9 image tiles from a single gastric biopsy slide; 300×300 px each; H&E.
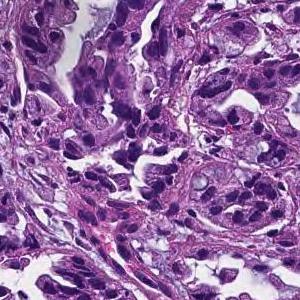
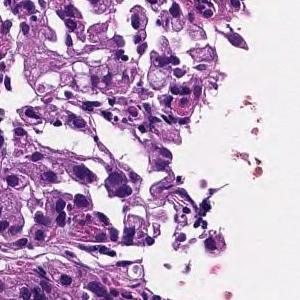
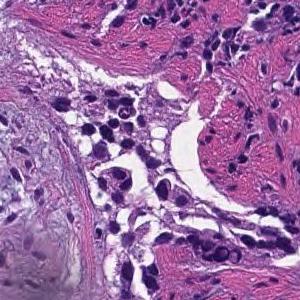
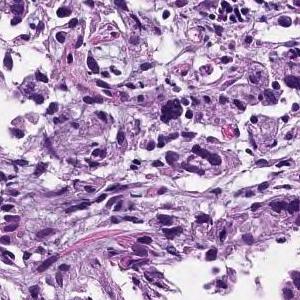
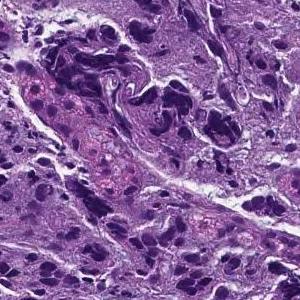
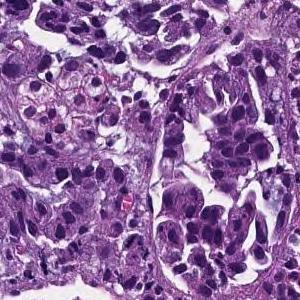
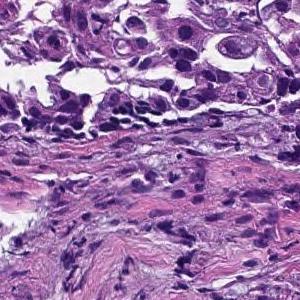
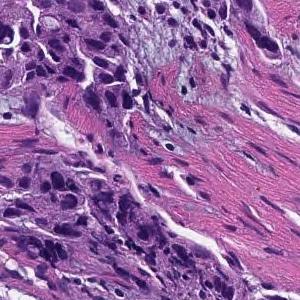
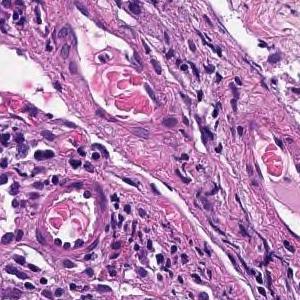
Pathology report for the slide these tiles were cut from. Both the report and the diagnosis are for the whole slide: these tiles need not show every feature named, and some of the tissue shown may not be tumor.
Tumor tissue consisting of medium-sized, cord-like or irregular glandular infiltration is observed in the superficial epithelium. Poorly differentiated adenocarcinoma, non-solid type or moderately differentiated tubular adenocarcinoma
Tumor subtype: moderately to poorly differentiated adenocarcinoma.
"Non-solid type" is a category of the Japanese Classification of Gastric Carcinoma.
